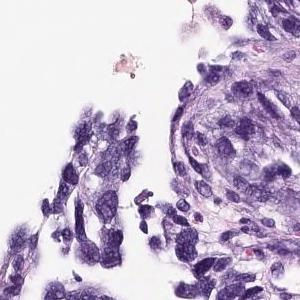
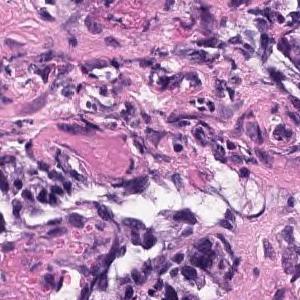
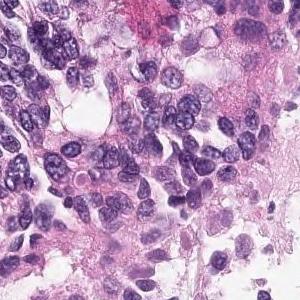
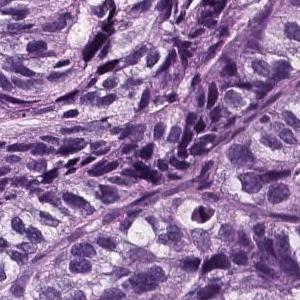
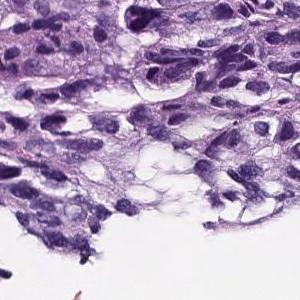
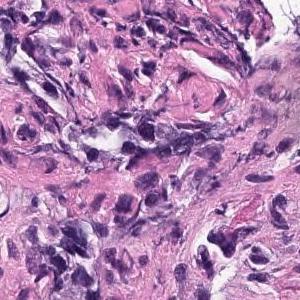
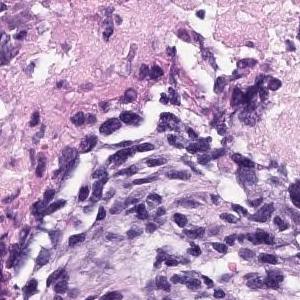
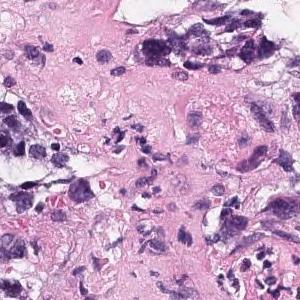
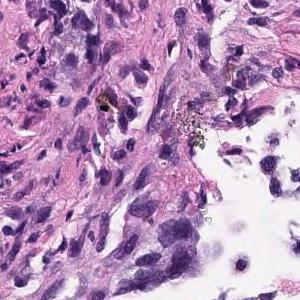
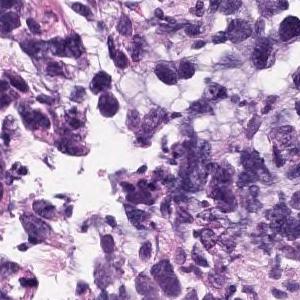
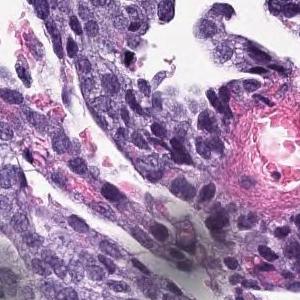
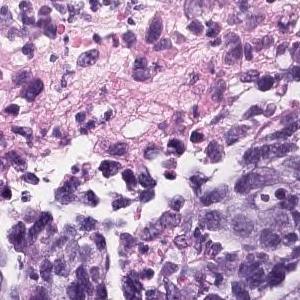
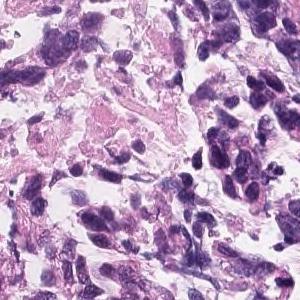
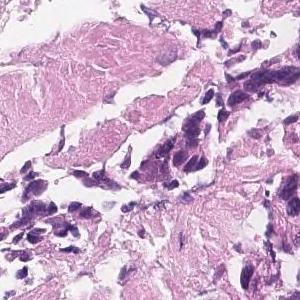
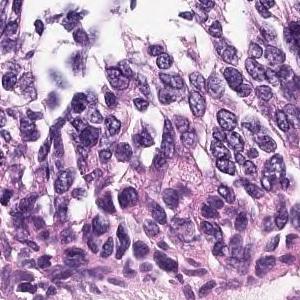
15 tiles cut from one stomach biopsy slide; 300×300 px each; scanned at ×20; H&E stain.
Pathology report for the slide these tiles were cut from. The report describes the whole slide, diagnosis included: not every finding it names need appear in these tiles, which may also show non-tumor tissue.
The superficial epithelium shows a large sheet-like shape, and some tumor tissue infiltrates with small irregular ducts. Poorly differentiated adenocarcinoma, solid-type
Histological subtype: Poorly differentiated adenocarcinoma, solid type, a category of the Japanese Classification of Gastric Carcinoma; in the WHO 2019 classification it is tubular adenocarcinoma, poorly differentiated.
